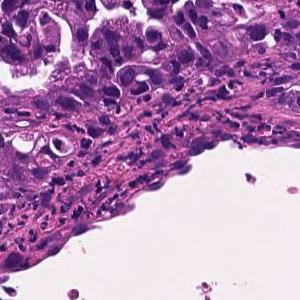
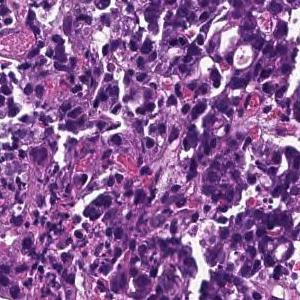
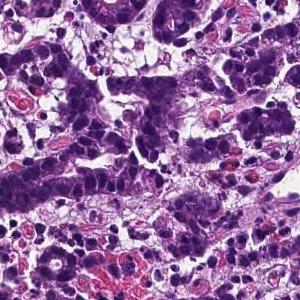
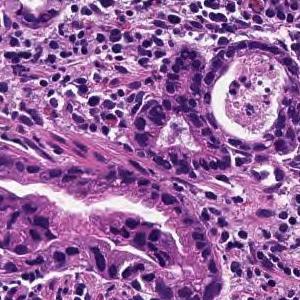
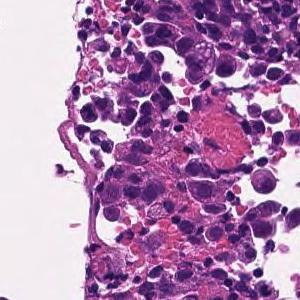
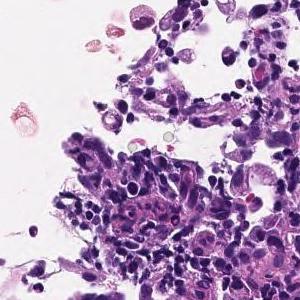
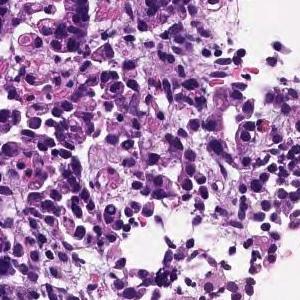
7 image tiles from a single gastric biopsy slide · hematoxylin and eosin stain · 20× magnification.
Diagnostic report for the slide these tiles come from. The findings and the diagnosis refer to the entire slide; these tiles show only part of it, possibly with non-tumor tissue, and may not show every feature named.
In the superficial epithelium, tumor tissue that invades by forming medium-sized to small, irregular ducts is observed. moderately differentiated tubular adenocarcinoma.
